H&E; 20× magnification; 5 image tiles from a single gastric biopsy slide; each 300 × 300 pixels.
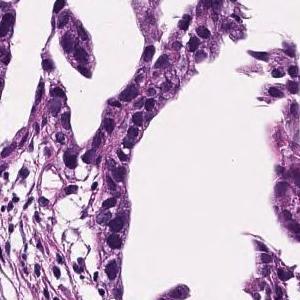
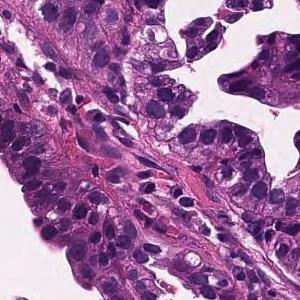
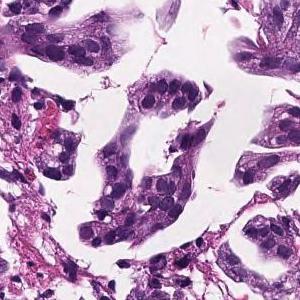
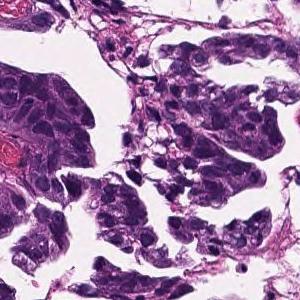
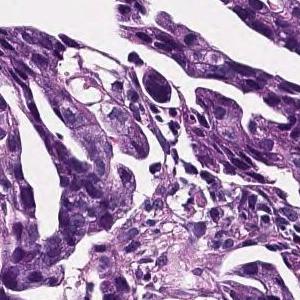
Diagnostic report for the slide these tiles come from. The report describes the whole slide, diagnosis included: not every finding it names need appear in these tiles, which may also show non-tumor tissue.
In the lamina propria, tumor tissue that invades by forming medium-sized to small, irregular glandular ducts is observed. moderately differentiated tubular adenocarcinoma
